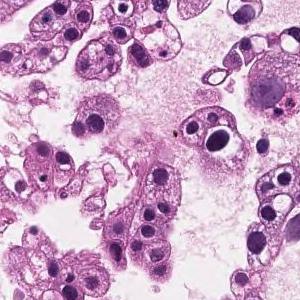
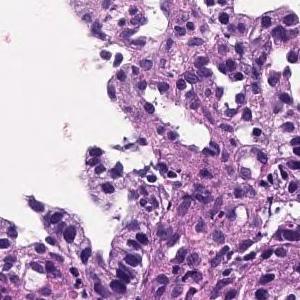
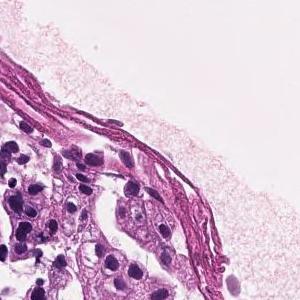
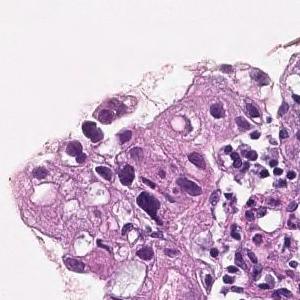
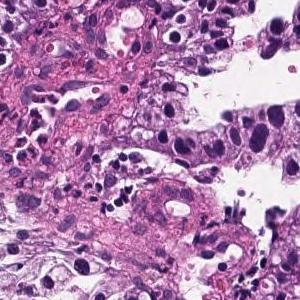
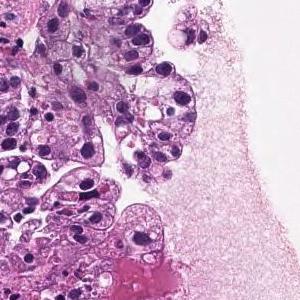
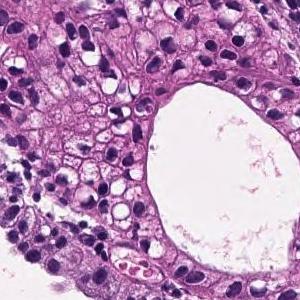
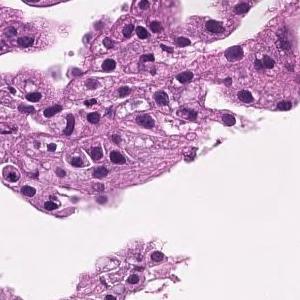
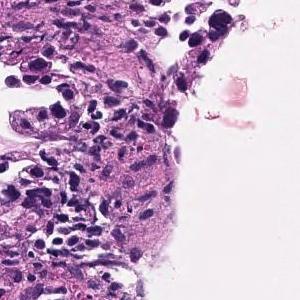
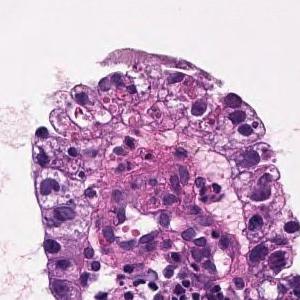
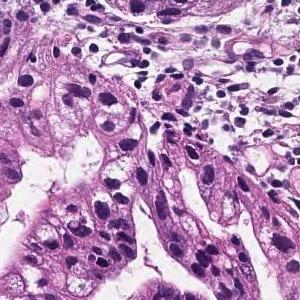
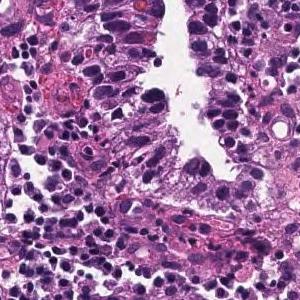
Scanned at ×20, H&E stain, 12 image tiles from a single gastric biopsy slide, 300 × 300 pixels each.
The pathologist's report on the biopsy slide these tiles were taken from. The report and the diagnosis describe the slide as a whole, so these tiles may not show every feature named and may include non-tumor tissue.
On the superficial epithelium, tumor tissue that infiltrates by forming medium-sized papillary or small irregular ducts is observed. Papillary adenocarcinoma
